Hematoxylin and eosin stain; scanned at ×20; 12 tiles from the same stomach biopsy slide; 300 × 300 pixels each.
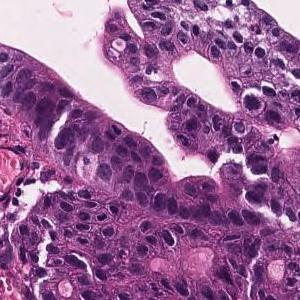
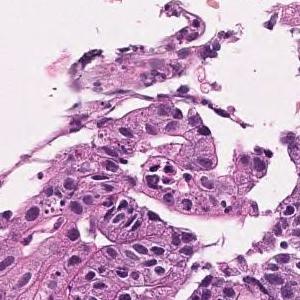
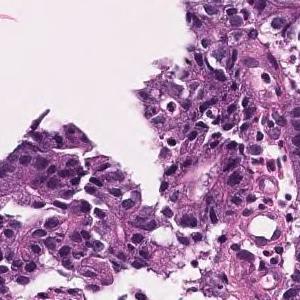
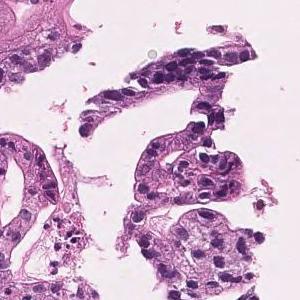
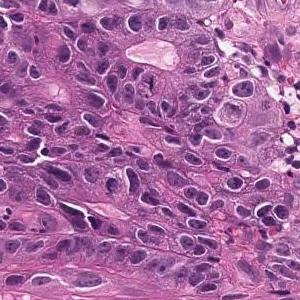
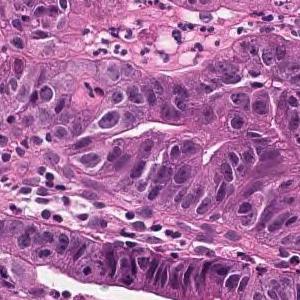
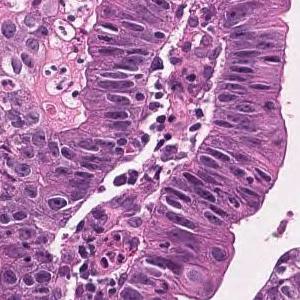
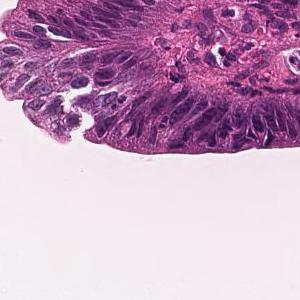
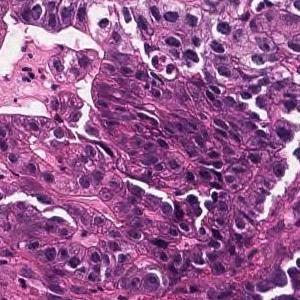
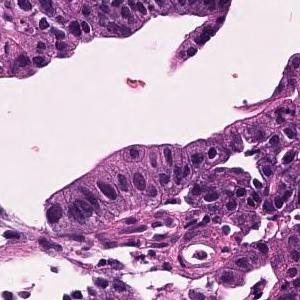
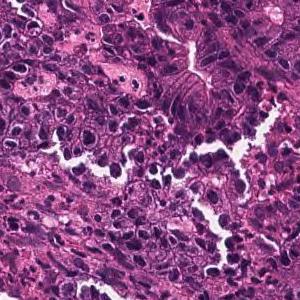
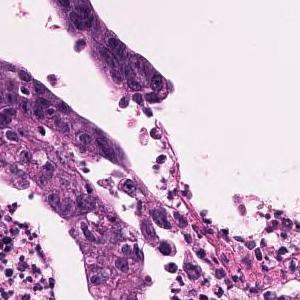
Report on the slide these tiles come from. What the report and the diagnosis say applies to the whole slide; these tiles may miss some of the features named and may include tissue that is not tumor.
In the superficial epithelium, tumor tissue that invades by forming medium-sized to small, irregular ducts is observed. Well differentiated tubular adenocarcinoma.
